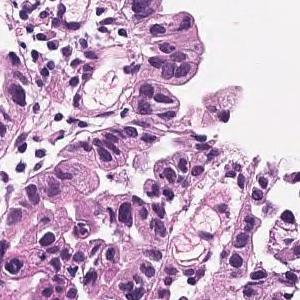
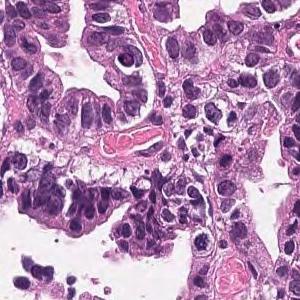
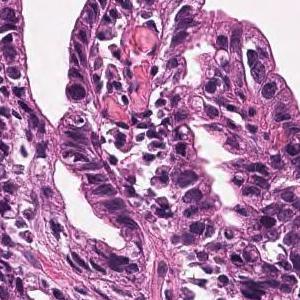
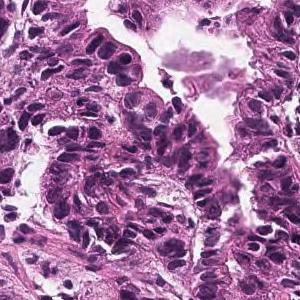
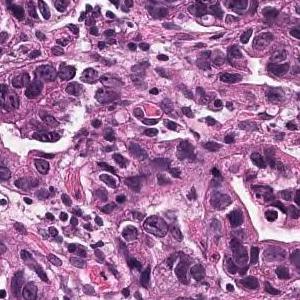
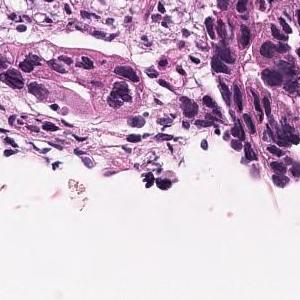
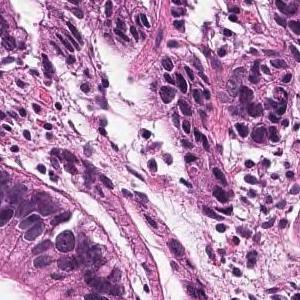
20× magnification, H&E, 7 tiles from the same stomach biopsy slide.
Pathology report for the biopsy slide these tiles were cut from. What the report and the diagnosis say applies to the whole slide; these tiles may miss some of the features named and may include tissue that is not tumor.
Medium to small, irregular glandular ducts are formed in the superficial epithelium, and in some cases, the glandular ducts are fused to show solid alveolar lesions and infiltrating tumor tissue is observed. Moderately to poorly differentiated adenocarcinoma.
